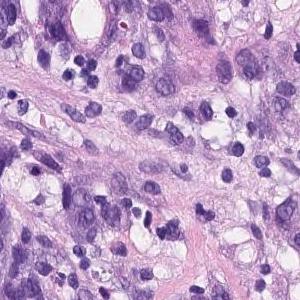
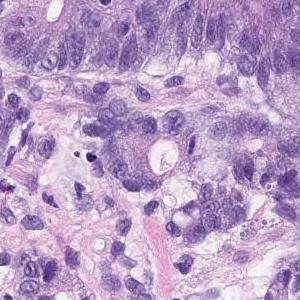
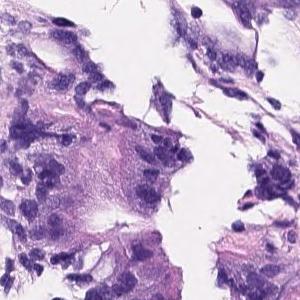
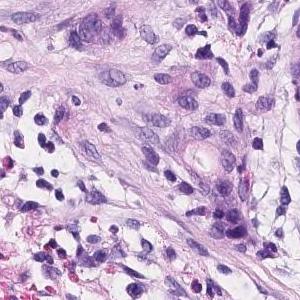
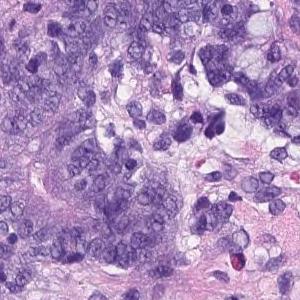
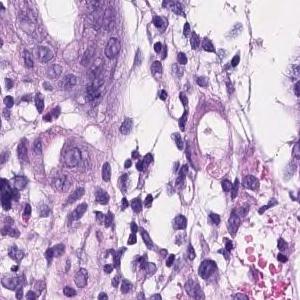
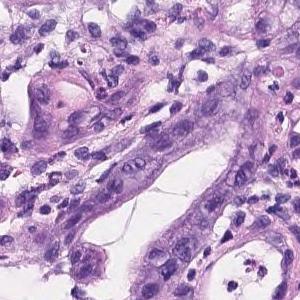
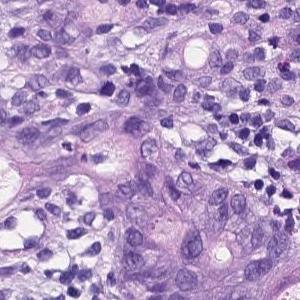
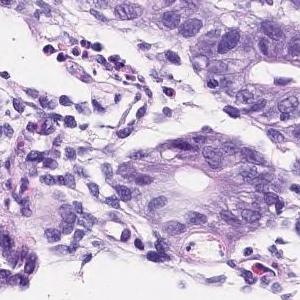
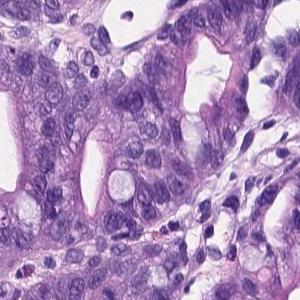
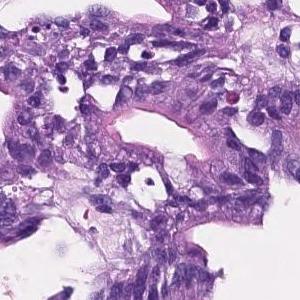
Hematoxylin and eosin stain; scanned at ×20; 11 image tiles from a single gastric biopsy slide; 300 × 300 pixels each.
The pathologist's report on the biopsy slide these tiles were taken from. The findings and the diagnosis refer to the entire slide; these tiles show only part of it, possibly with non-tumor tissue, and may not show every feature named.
Irregularly fused atypical ducts proliferating while replacing existing ducts was observed. moderately differentiated tubular adenocarcinoma
